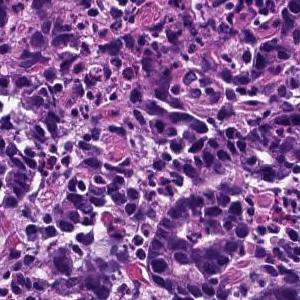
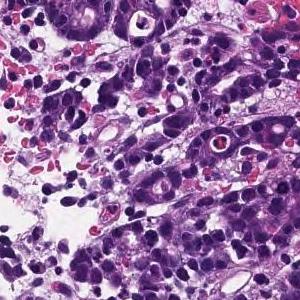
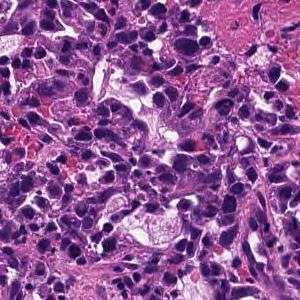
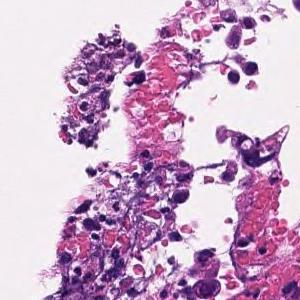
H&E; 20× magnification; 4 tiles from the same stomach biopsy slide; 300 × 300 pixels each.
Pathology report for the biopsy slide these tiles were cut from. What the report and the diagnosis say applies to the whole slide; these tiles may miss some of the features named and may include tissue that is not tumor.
In the superficial epithelium, tumor tissue that invades by forming medium-sized to small, irregular ducts is observed. moderately differentiated tubular adenocarcinoma.
